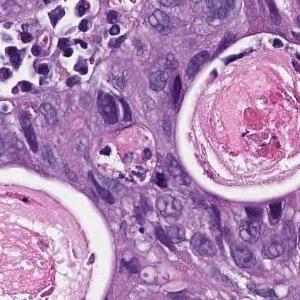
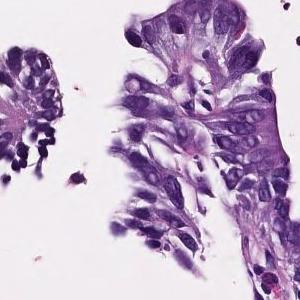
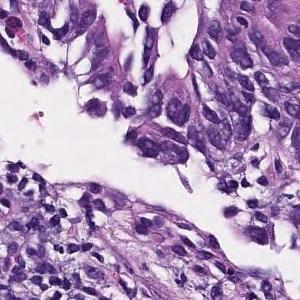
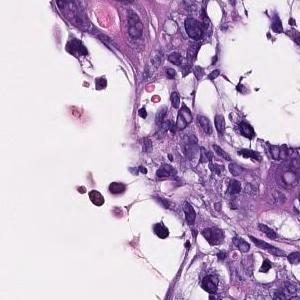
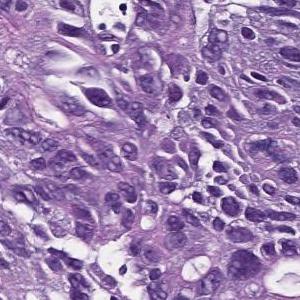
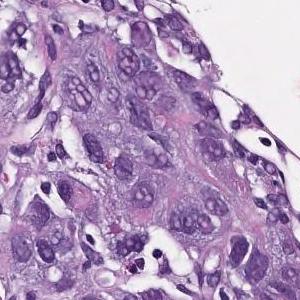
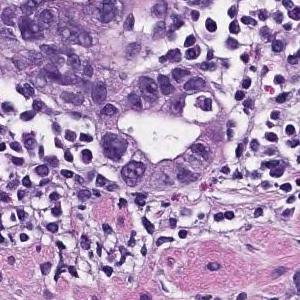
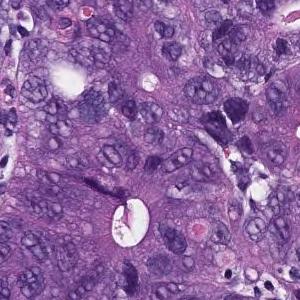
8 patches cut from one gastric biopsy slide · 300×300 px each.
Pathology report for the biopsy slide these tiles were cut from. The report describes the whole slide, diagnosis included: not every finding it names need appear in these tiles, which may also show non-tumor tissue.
In the superficial epithelium, tumor tissue that invades by forming medium-sized to small, irregular ducts is observed. moderately differentiated tubular adenocarcinoma.
